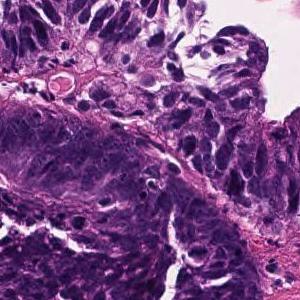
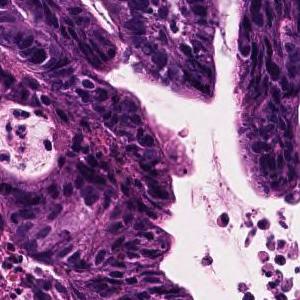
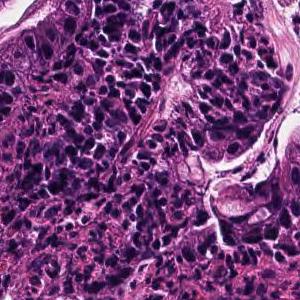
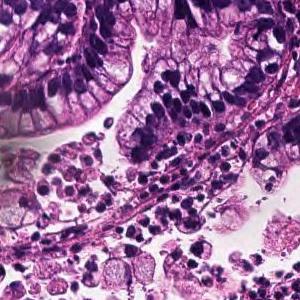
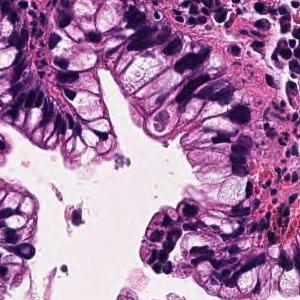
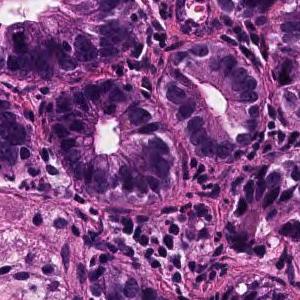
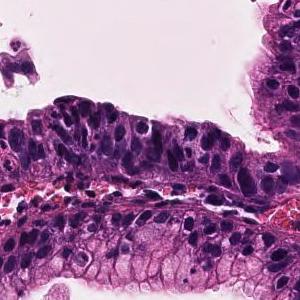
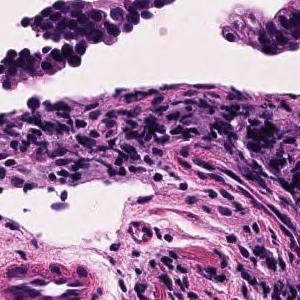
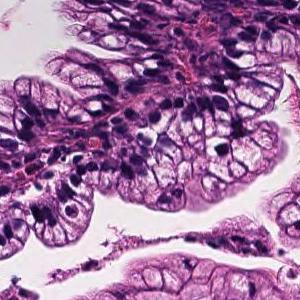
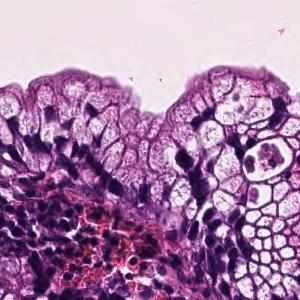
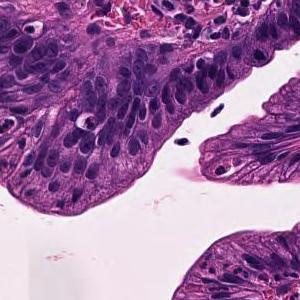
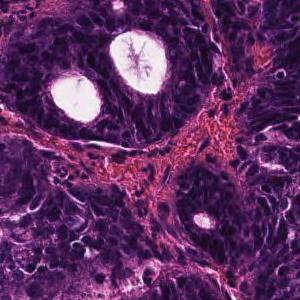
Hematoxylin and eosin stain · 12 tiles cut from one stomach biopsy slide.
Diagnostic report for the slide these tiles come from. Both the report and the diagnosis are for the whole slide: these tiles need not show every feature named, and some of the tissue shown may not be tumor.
Tumor cells are large, highly columnar, large club-shaped nuclei, and are associated with chromatin aggregation. Papillary adenocarcinoma.
